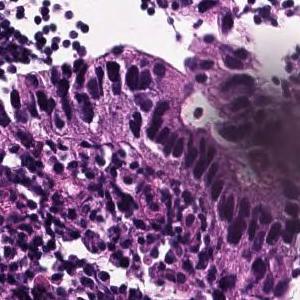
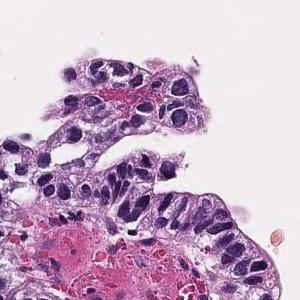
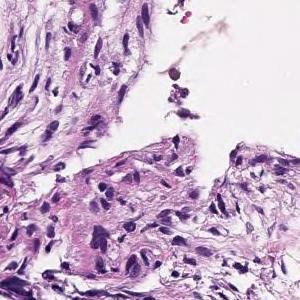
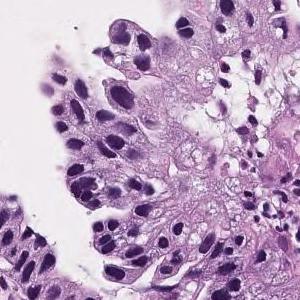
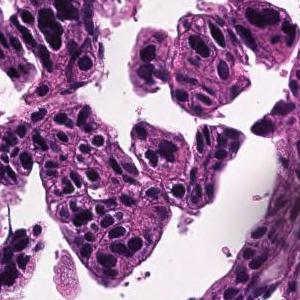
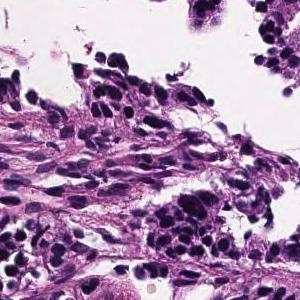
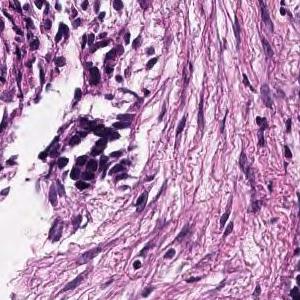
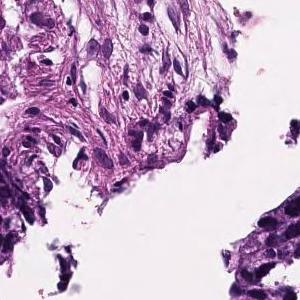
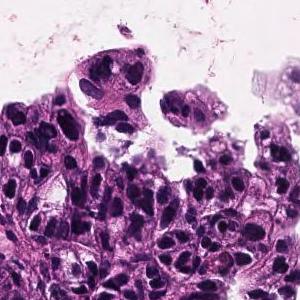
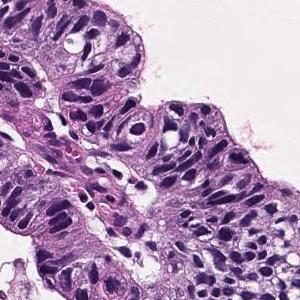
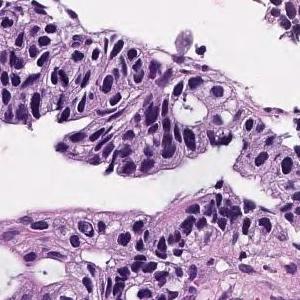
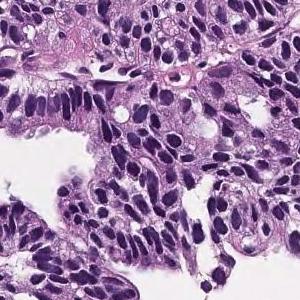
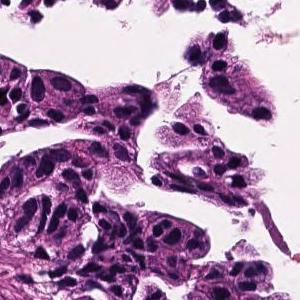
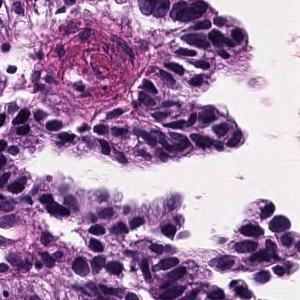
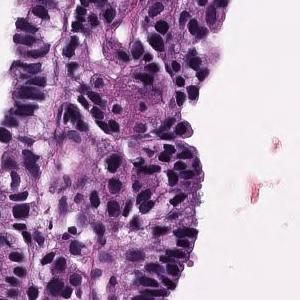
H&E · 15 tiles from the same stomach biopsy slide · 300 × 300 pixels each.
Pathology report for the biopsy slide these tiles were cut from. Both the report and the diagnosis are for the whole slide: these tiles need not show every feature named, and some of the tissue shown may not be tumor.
Tumor cells are large, highly columnar, large club-shaped nuclei, and are associated with chromatin aggregation. Papillary adenocarcinoma.
